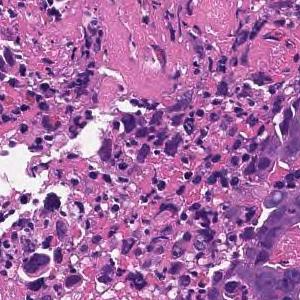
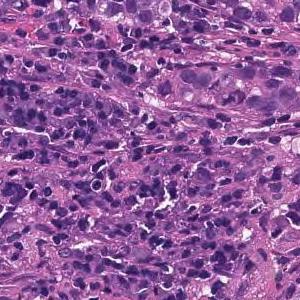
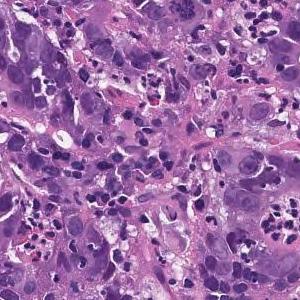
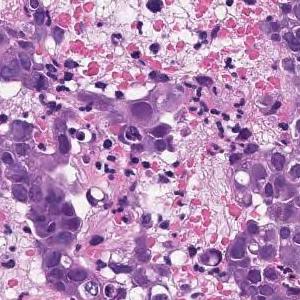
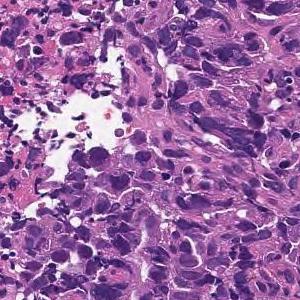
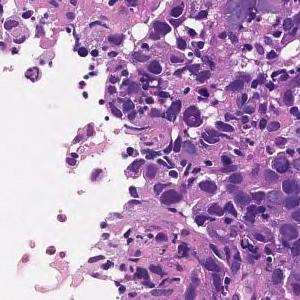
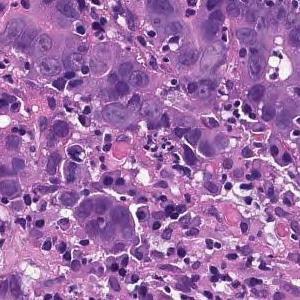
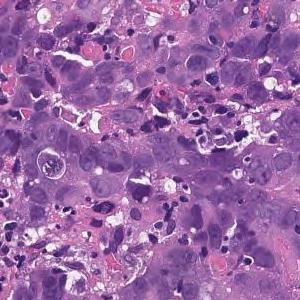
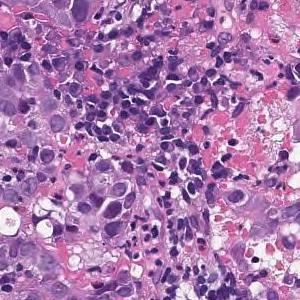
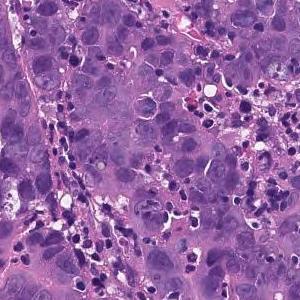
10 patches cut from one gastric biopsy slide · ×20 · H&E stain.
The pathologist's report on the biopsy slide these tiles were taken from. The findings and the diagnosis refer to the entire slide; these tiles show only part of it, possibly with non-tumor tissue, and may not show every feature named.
Tumor tissue consisting of cord-like or small, irregular glandular ducts fused and infiltrated is observed in the superficial epithelium. Poorly differentiated adenocarcinoma, non-solid type
The term "non-solid type" comes from the Japanese Classification of Gastric Carcinoma.
